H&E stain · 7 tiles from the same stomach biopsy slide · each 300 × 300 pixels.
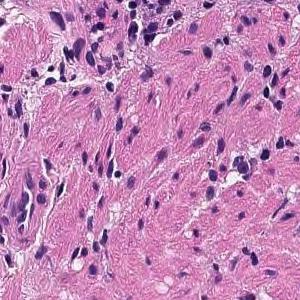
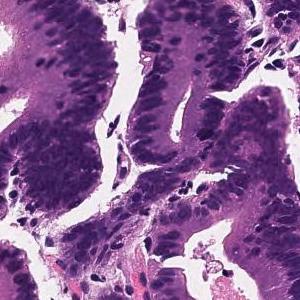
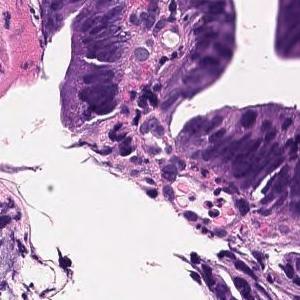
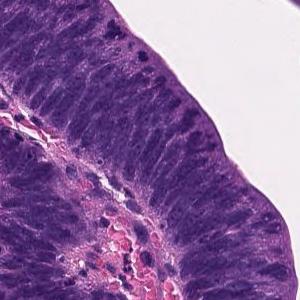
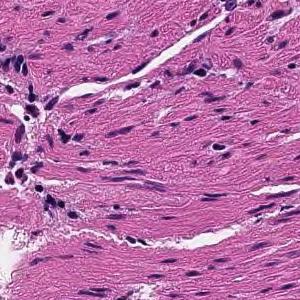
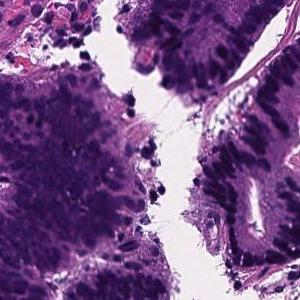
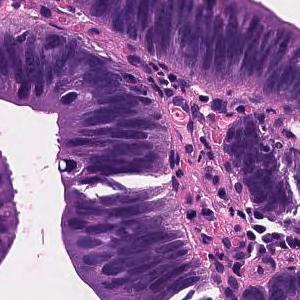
Diagnostic report for the slide these tiles come from. What the report and the diagnosis say applies to the whole slide; these tiles may miss some of the features named and may include tissue that is not tumor.
Tumor tissue consisting of large papillary structures is found in the superficial epithelium. Papillary adenocarcinoma.
